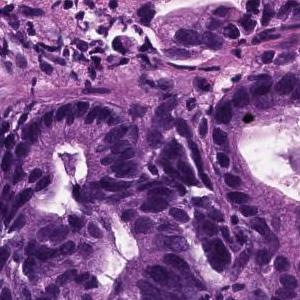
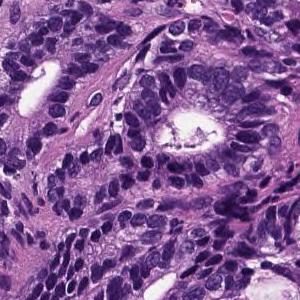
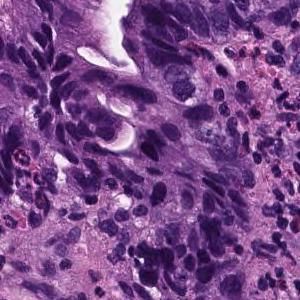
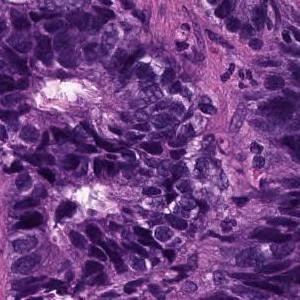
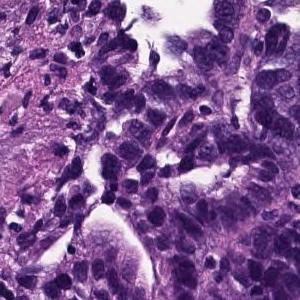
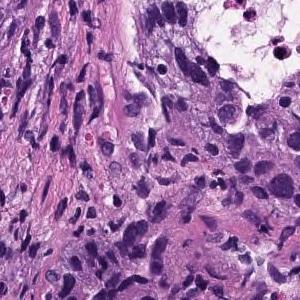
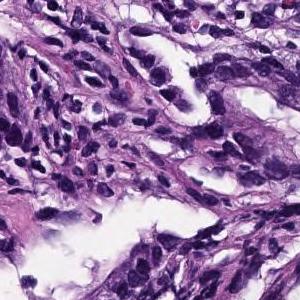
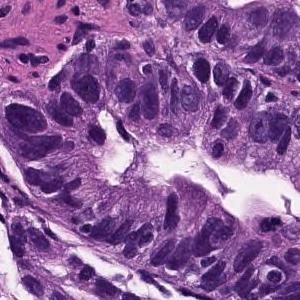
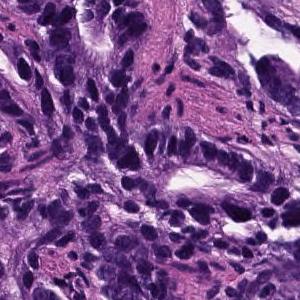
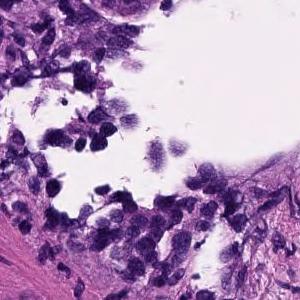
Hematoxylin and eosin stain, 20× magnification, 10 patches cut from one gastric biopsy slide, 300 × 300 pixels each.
Report on the slide these tiles come from. Both the report and the diagnosis are for the whole slide: these tiles need not show every feature named, and some of the tissue shown may not be tumor.
In the superficial epithelium, tumor tissue that invades by forming medium-sized to small, irregular ducts is observed. Moderately differentiated adenocarcinoma.
Classified as moderately differentiated tubular adenocarcinoma.
